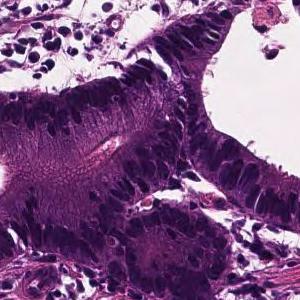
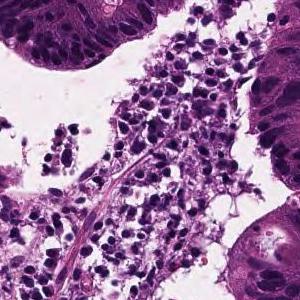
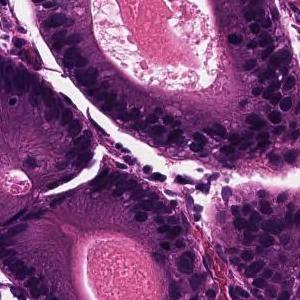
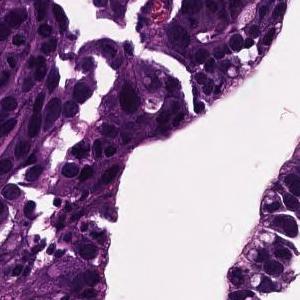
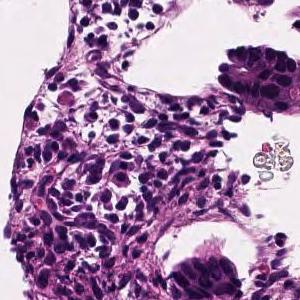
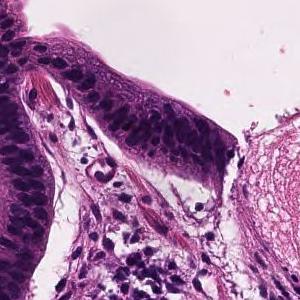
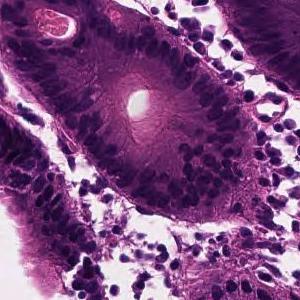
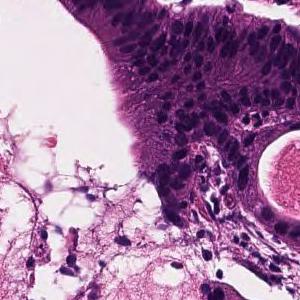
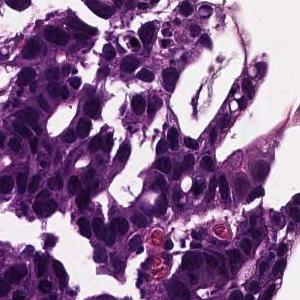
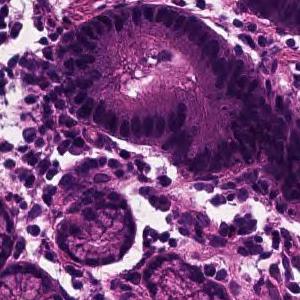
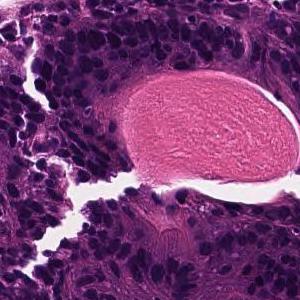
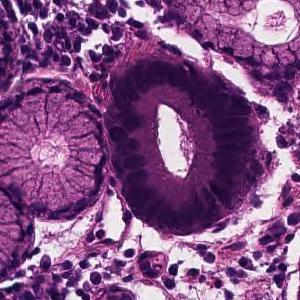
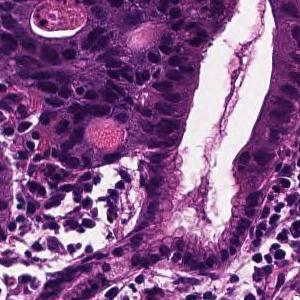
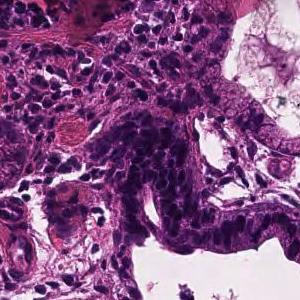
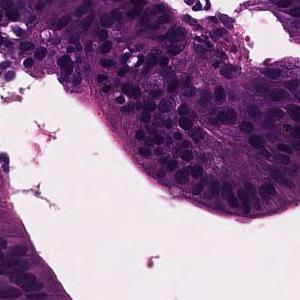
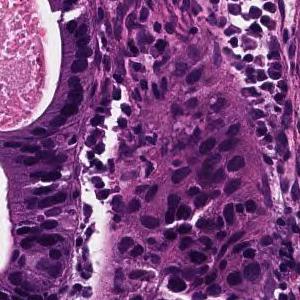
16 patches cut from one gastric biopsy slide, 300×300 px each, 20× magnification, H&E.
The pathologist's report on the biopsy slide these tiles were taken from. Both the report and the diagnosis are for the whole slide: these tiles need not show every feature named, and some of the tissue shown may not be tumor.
In the superficial epithelium, tumor tissue that invades by forming medium-sized to small, irregular ducts is observed. moderately differentiated tubular adenocarcinoma.
